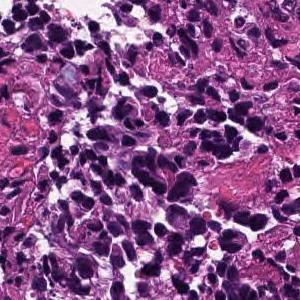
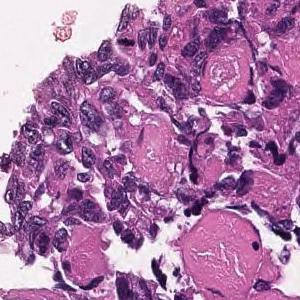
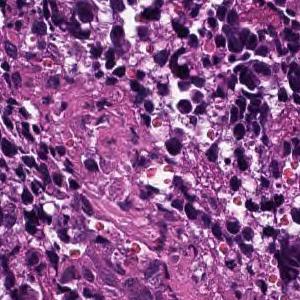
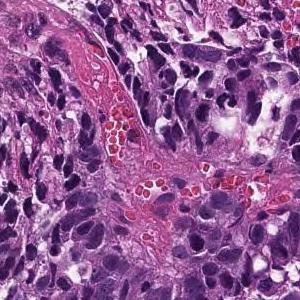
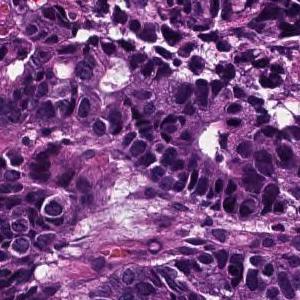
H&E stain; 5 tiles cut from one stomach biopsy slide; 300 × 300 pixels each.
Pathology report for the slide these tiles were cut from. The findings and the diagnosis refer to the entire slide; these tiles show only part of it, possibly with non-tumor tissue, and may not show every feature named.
Tumor tissue consisting of large, irregular glandular ducts, centered on the submucosa, infiltrated by fusion with each other is observed. Well to moderately differentiated tubular adenocarcinoma (well differentiated tubular adenocarcinoma-moderately differentiated tubular adenocarcinoma)
Histologic type: Well to moderately differentiated tubular adenocarcinoma.
